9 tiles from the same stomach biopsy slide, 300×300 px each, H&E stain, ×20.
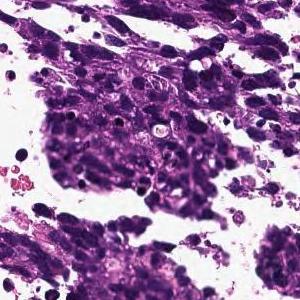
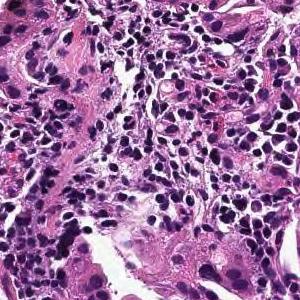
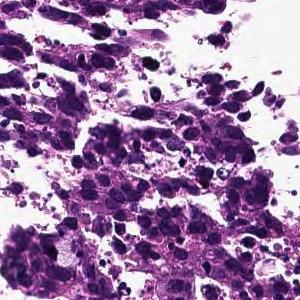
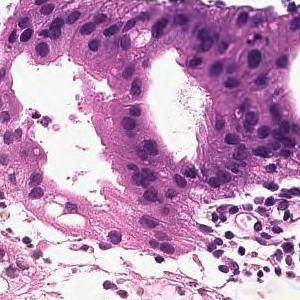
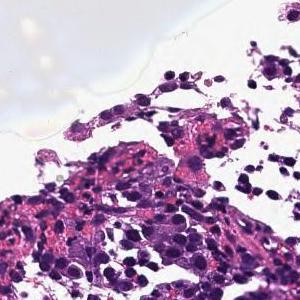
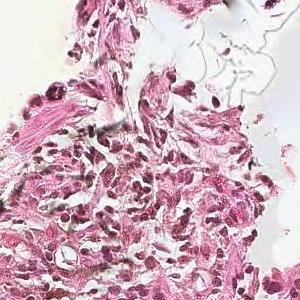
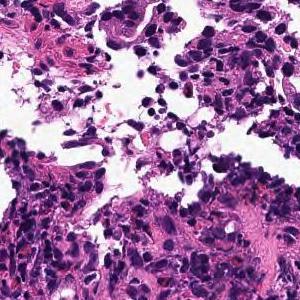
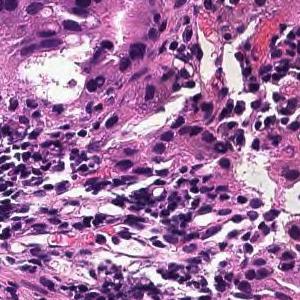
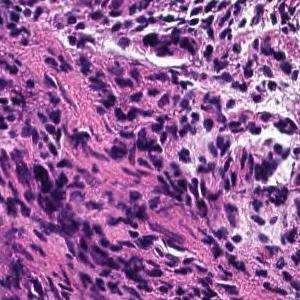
Diagnostic report for the slide these tiles come from. The report and the diagnosis describe the slide as a whole, so these tiles may not show every feature named and may include non-tumor tissue.
In the superficial epithelium, tumor tissue that invades by forming medium-sized to small, irregular ducts is observed. moderately differentiated tubular adenocarcinoma.
